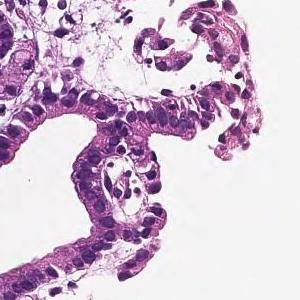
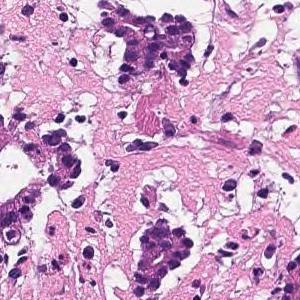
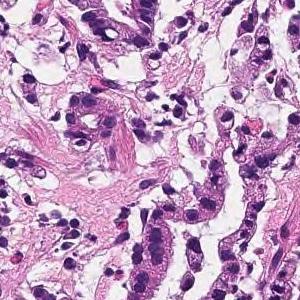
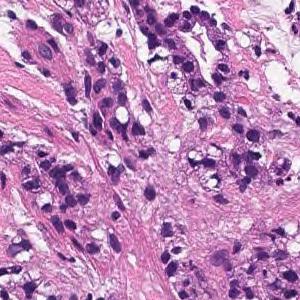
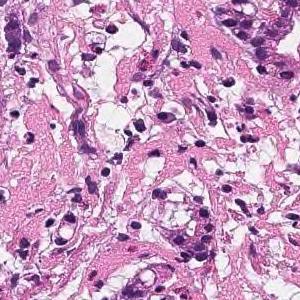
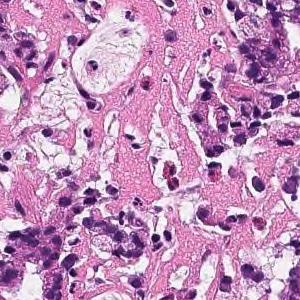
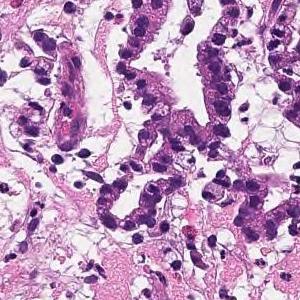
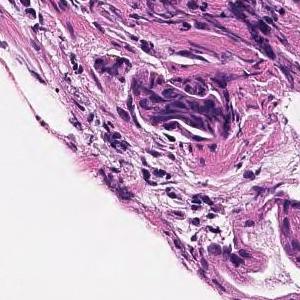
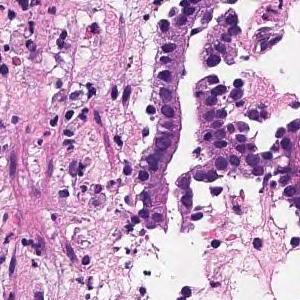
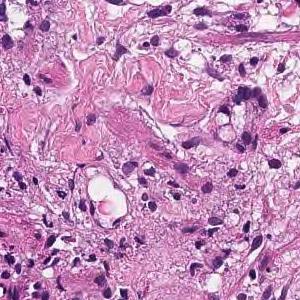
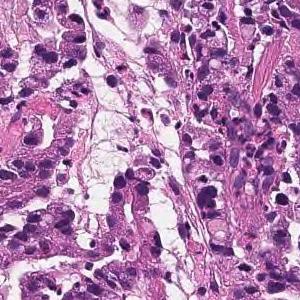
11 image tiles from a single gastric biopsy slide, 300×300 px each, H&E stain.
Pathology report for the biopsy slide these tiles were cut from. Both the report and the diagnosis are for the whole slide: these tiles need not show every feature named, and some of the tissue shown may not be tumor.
In the superficial epithelium, tumor tissue that invades by forming medium-sized to small, irregular ducts is observed. moderately differentiated tubular adenocarcinoma.
